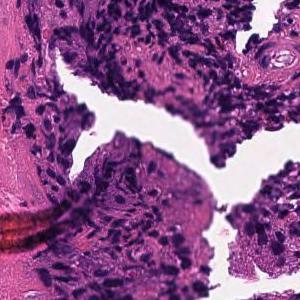
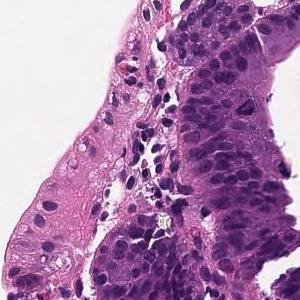
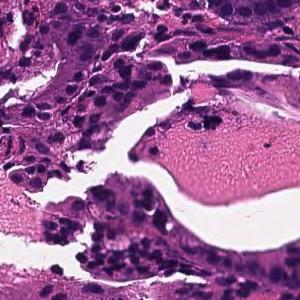
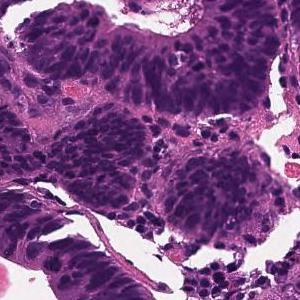
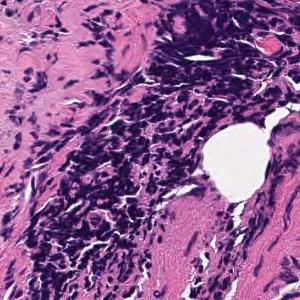
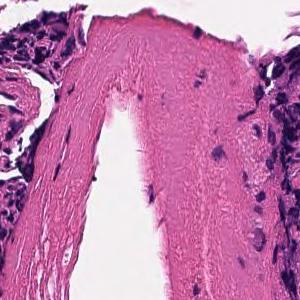
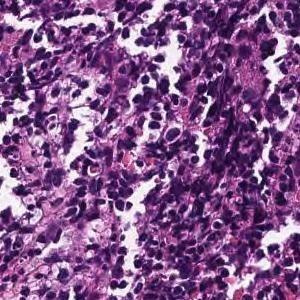
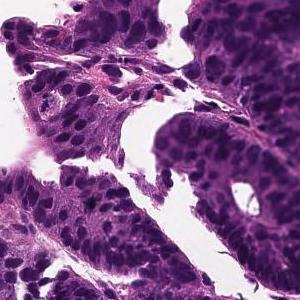
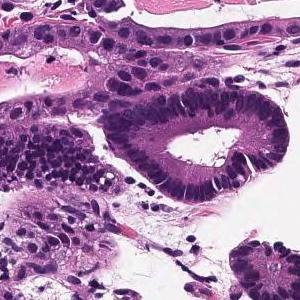
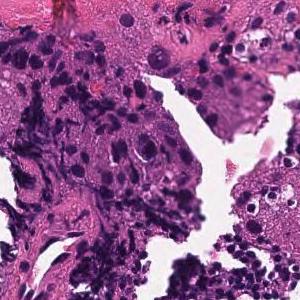
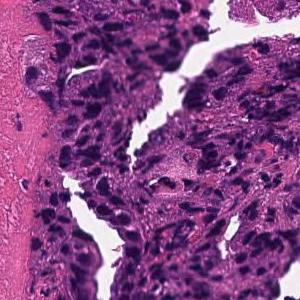
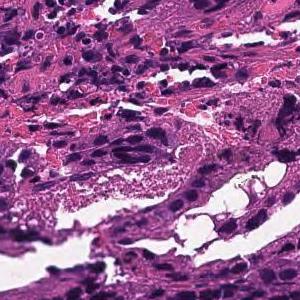
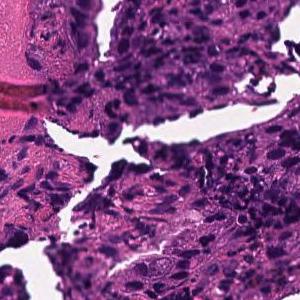
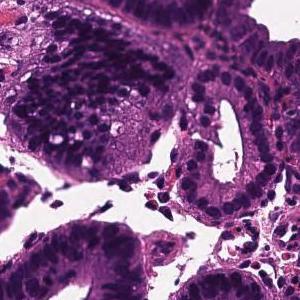
20× magnification; H&E stain; 14 image tiles from a single gastric biopsy slide.
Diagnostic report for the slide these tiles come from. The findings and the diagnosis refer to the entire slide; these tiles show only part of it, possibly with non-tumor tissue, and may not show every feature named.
Tumor cells are large, highly columnar, large club-shaped nuclei, and are associated with chromatin aggregation. Papillary adenocarcinoma.
